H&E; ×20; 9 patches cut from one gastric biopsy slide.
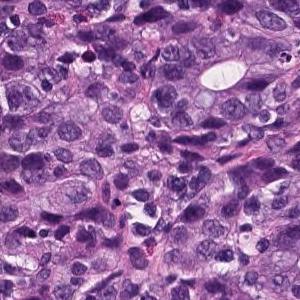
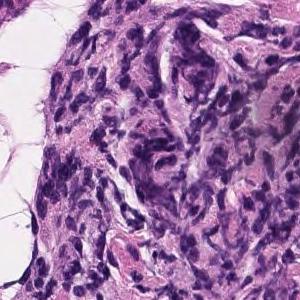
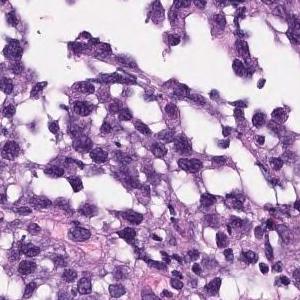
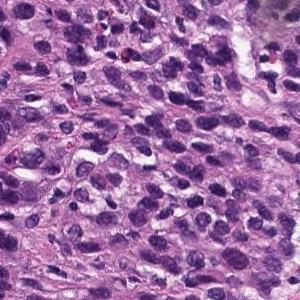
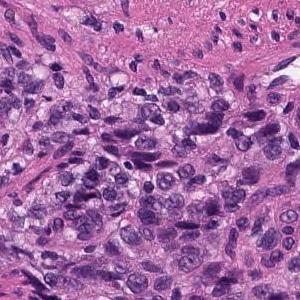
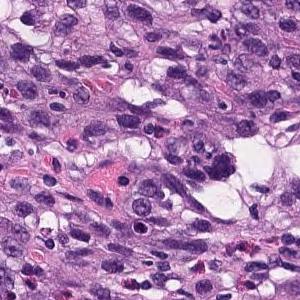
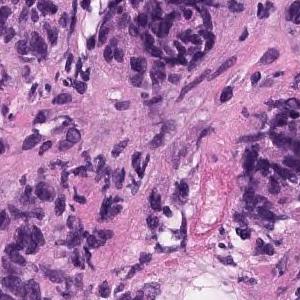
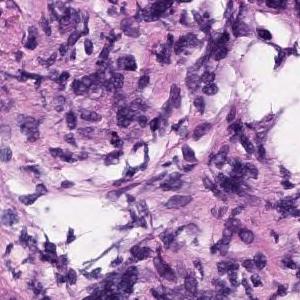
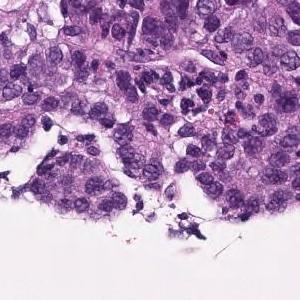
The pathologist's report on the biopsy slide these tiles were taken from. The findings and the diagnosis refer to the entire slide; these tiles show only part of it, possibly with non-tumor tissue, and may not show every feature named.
In the superficial epithelium, tumor tissue that invades by forming medium-sized to small, irregular ducts is observed. Moderately differentiated adenocarcinoma.
Subtype: Moderately differentiated tubular adenocarcinoma.
